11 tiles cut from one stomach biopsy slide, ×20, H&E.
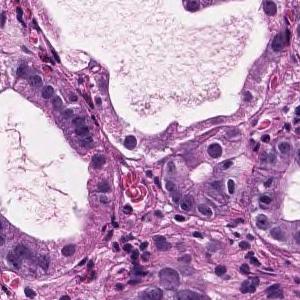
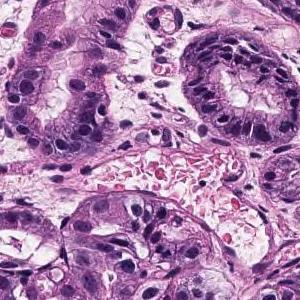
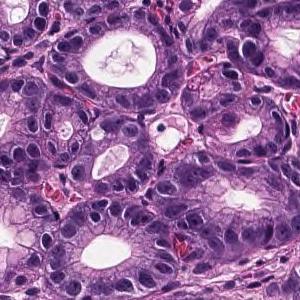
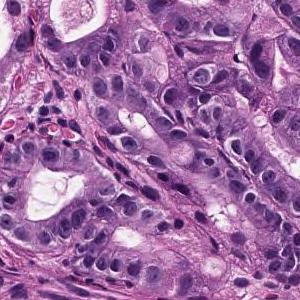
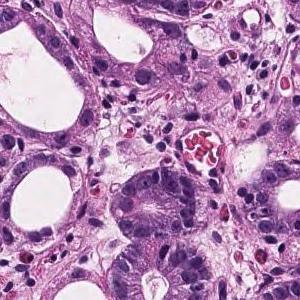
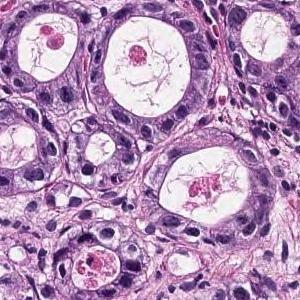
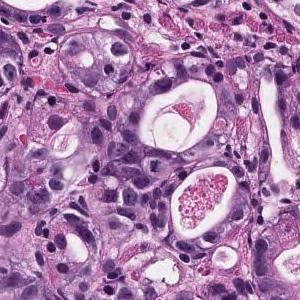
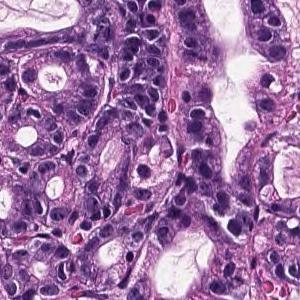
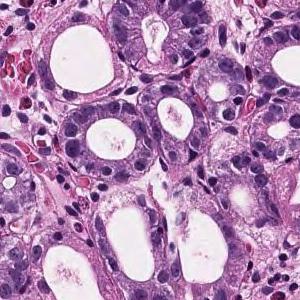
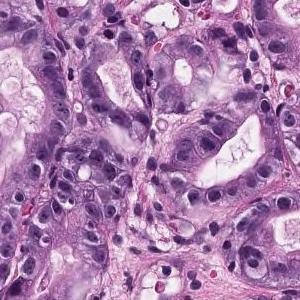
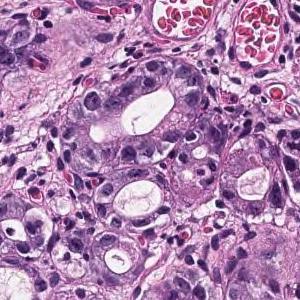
Diagnostic report for the slide these tiles come from. Both the report and the diagnosis are for the whole slide: these tiles need not show every feature named, and some of the tissue shown may not be tumor.
On the superficial epithelium, tumor tissue that infiltrates by forming medium-sized round or small irregular ducts is observed. Papillary adenocarcinoma
